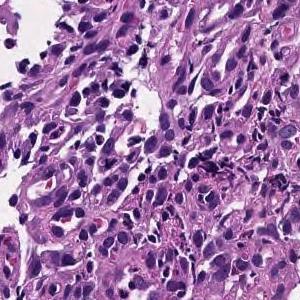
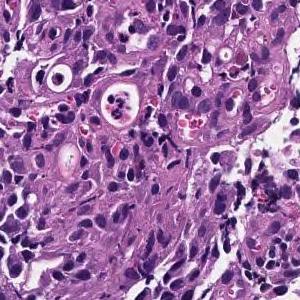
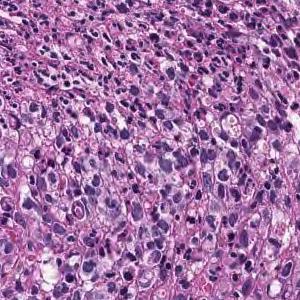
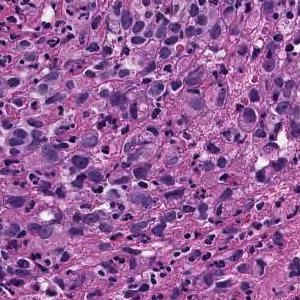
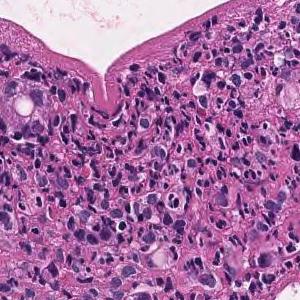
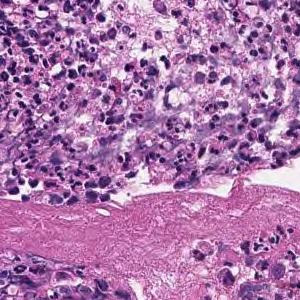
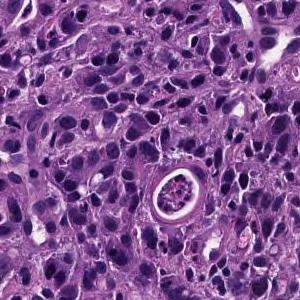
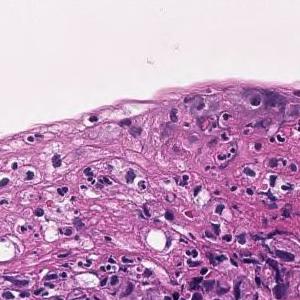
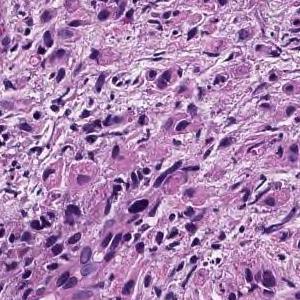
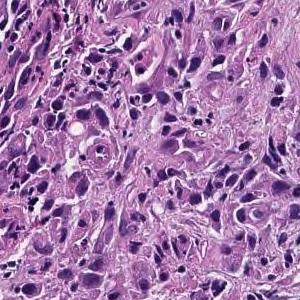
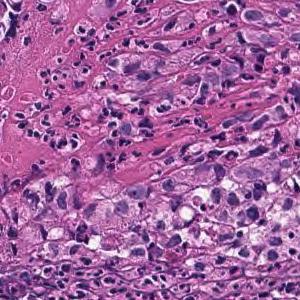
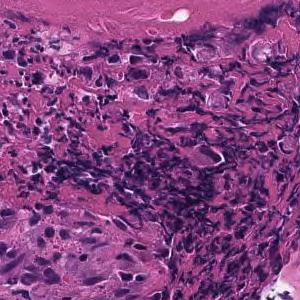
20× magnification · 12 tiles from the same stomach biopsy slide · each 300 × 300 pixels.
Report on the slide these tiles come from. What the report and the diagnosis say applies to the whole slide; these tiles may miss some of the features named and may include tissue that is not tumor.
The superficial epithelium shows a large sheet-like shape, and some tumor tissue infiltrates with small irregular ducts. Poorly differentiated adenocarcinoma, solid-type
Tumor subtype: poorly differentiated adenocarcinoma, solid type. This name comes from the Japanese Classification of Gastric Carcinoma; the WHO 2019 classification calls it tubular adenocarcinoma, poorly differentiated.
